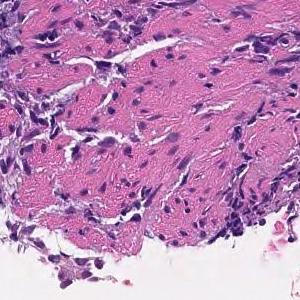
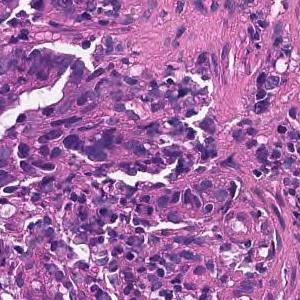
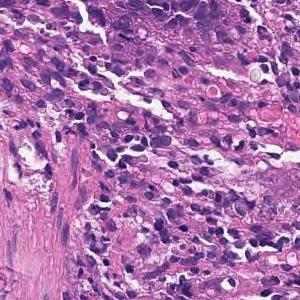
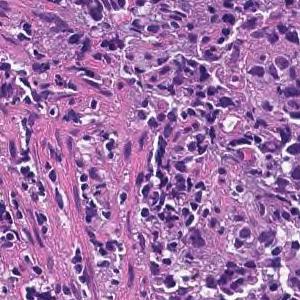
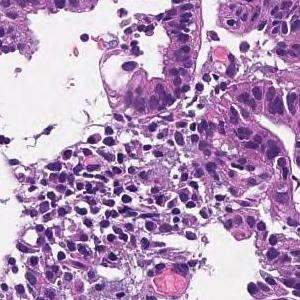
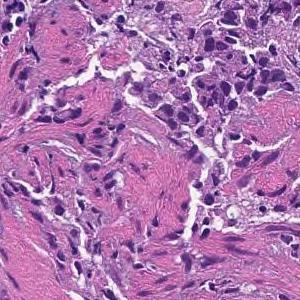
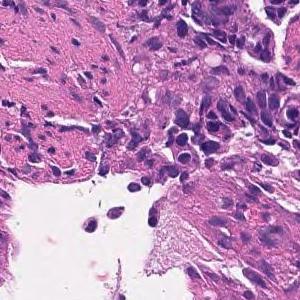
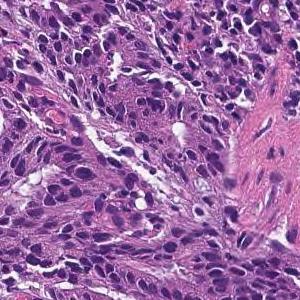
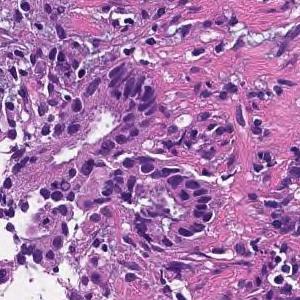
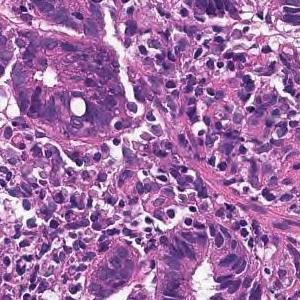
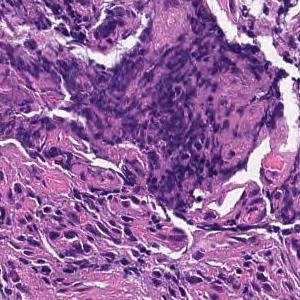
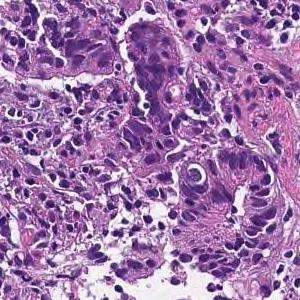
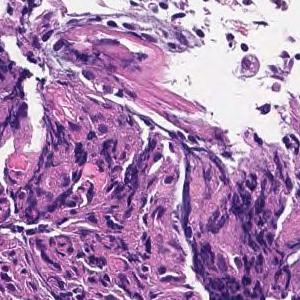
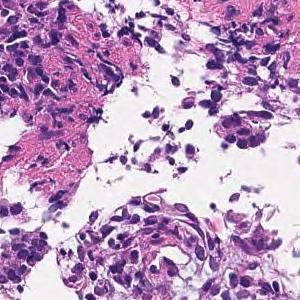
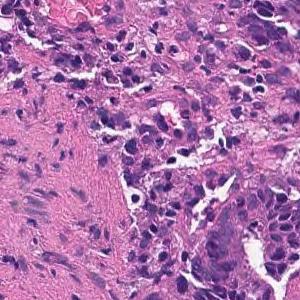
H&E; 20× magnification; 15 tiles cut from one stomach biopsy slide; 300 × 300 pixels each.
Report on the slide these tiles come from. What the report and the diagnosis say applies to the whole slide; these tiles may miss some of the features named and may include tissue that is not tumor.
On the superficial epithelium, tumor tissue consisting of large, irregular glandular ducts partially fused and infiltrated is observed. Well to moderately differentiated tubular adenocarcinoma (well differentiated tubular adenocarcinoma, moderately differentiated tubular adenocarcinoma)
Histologic type: Well to moderately differentiated tubular adenocarcinoma.
